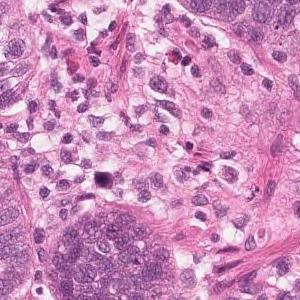
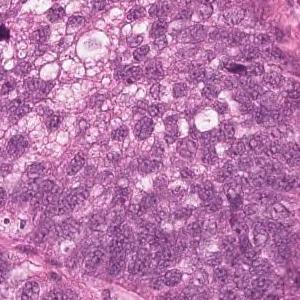
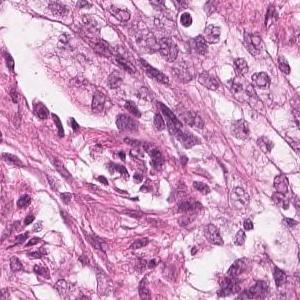
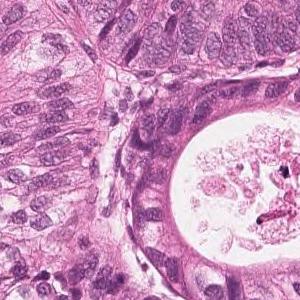
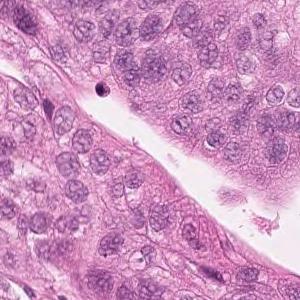
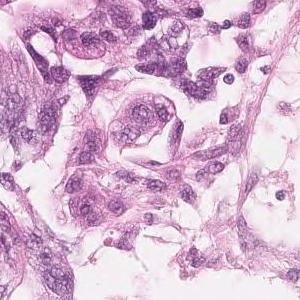
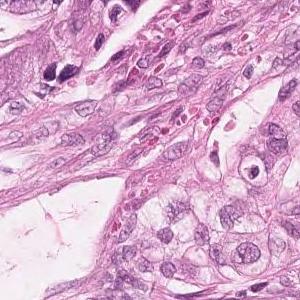
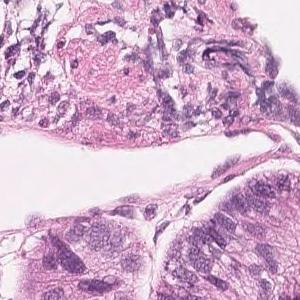
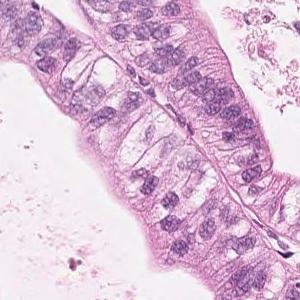
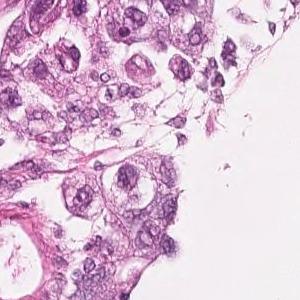
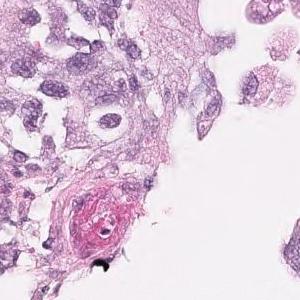
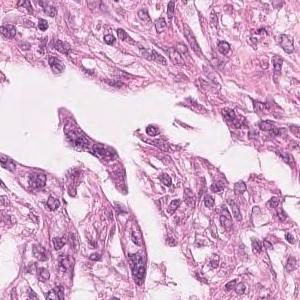
H&E stain · scanned at ×20 · 12 tiles cut from one stomach biopsy slide · 300×300 px each.
Pathology report for the slide these tiles were cut from. The report describes the whole slide, diagnosis included: not every finding it names need appear in these tiles, which may also show non-tumor tissue.
Highly columnar epithelium with disordered nuclear localization proliferates showing fusion ductal construction. moderately differentiated tubular adenocarcinoma
